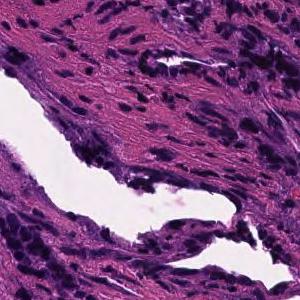
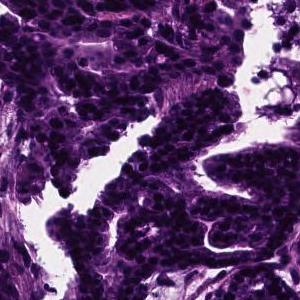
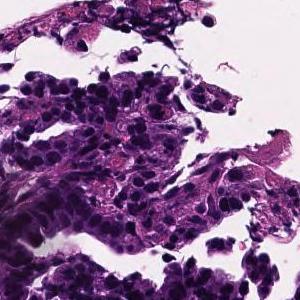
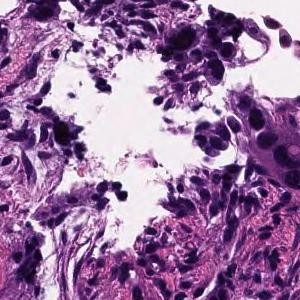
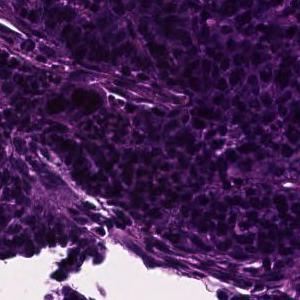
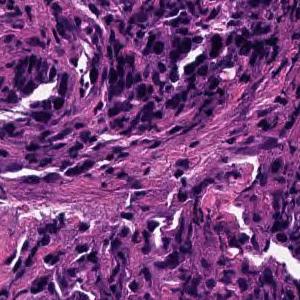
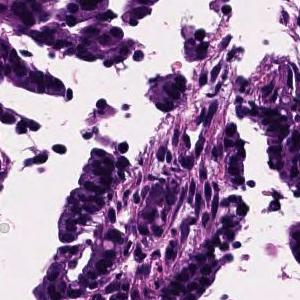
Scanned at ×20, H&E, 7 image tiles from a single gastric biopsy slide, each 300 × 300 pixels.
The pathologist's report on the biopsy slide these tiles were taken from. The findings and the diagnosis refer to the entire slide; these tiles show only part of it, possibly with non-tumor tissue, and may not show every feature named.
In the superficial epithelium, tumor tissue that invades by forming medium-sized to small, irregular ducts is observed. moderately differentiated tubular adenocarcinoma.
